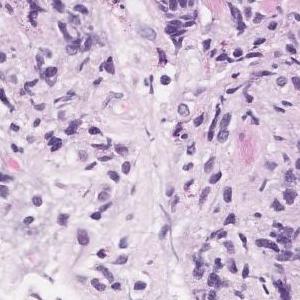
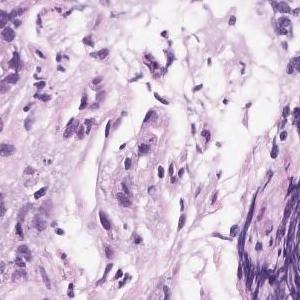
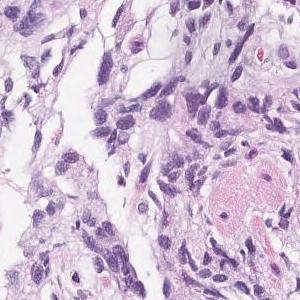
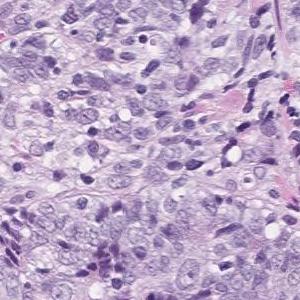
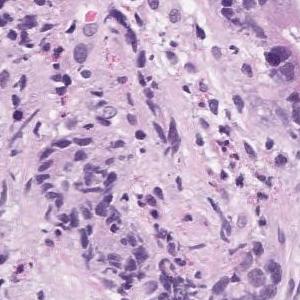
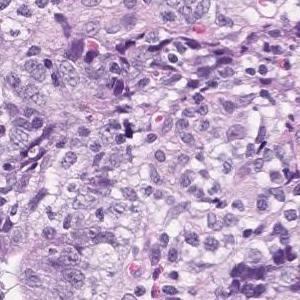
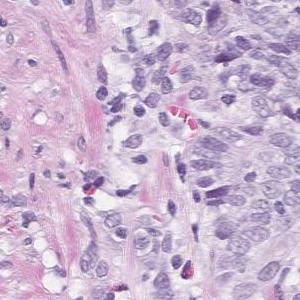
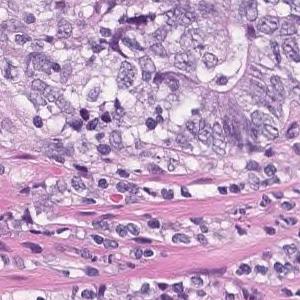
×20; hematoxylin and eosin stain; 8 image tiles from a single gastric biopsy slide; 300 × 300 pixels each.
The pathologist's report on the biopsy slide these tiles were taken from. The report and the diagnosis cover the entire slide, so not every feature they name need be visible here, and some tissue shown may not be tumor.
Highly columnar epithelium with disordered nuclear localization proliferates showing fusion ductal construction. moderately differentiated tubular adenocarcinoma
